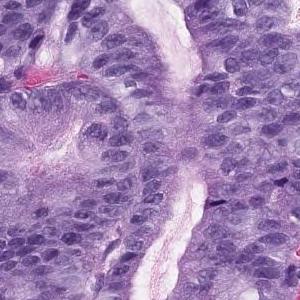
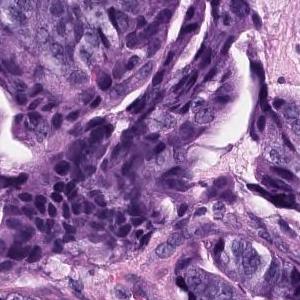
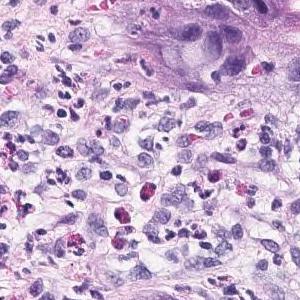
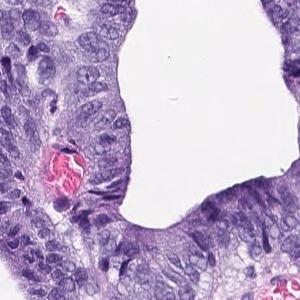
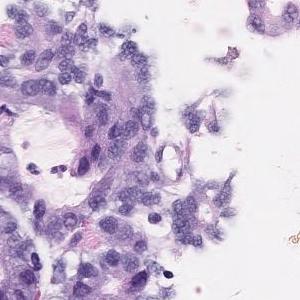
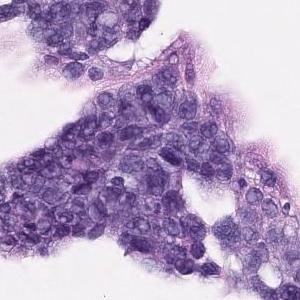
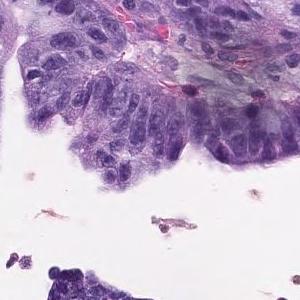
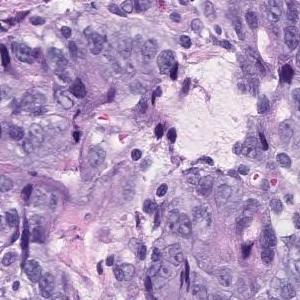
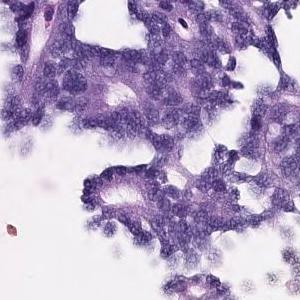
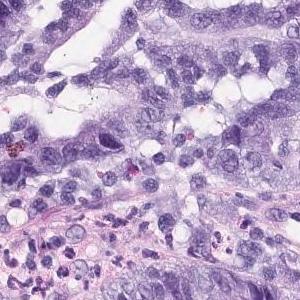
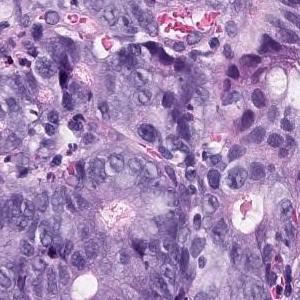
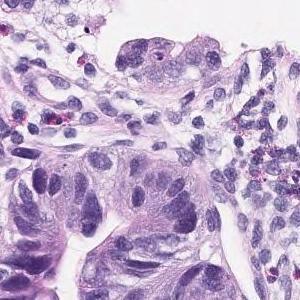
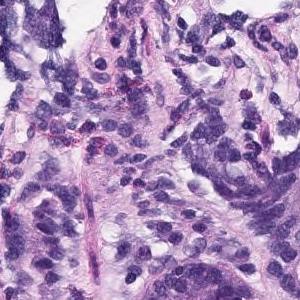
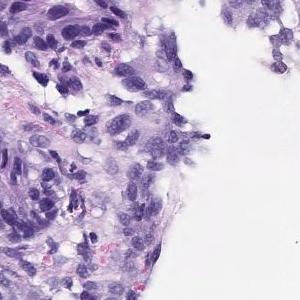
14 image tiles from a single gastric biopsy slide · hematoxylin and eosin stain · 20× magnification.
Pathology report for the biopsy slide these tiles were cut from. The report describes the whole slide, diagnosis included: not every finding it names need appear in these tiles, which may also show non-tumor tissue.
In the superficial epithelium, tumor tissue that invades by forming medium-sized to small, irregular ducts is observed. Well to moderately differentiated tubular adenocarcinoma.
